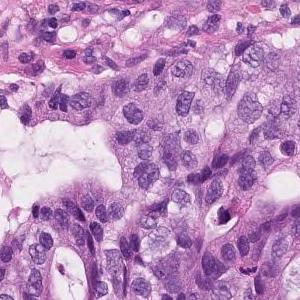
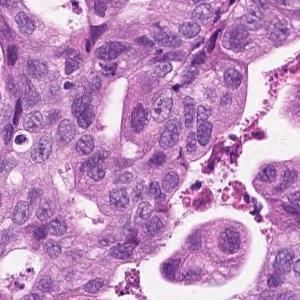
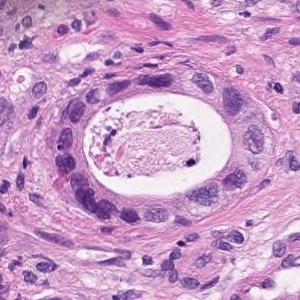
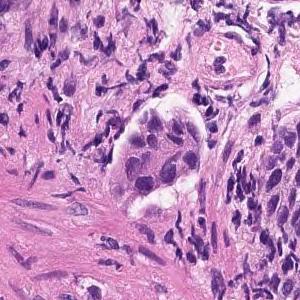
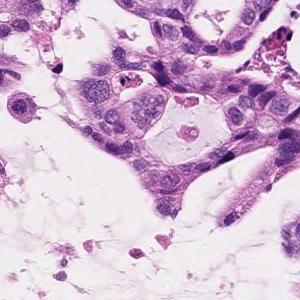
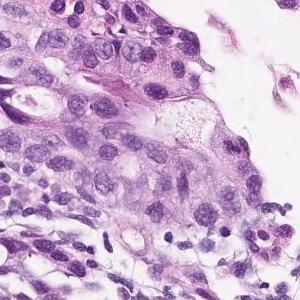
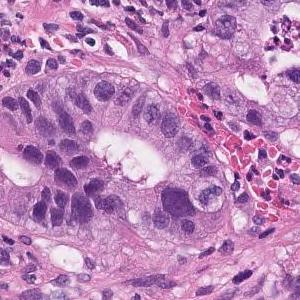
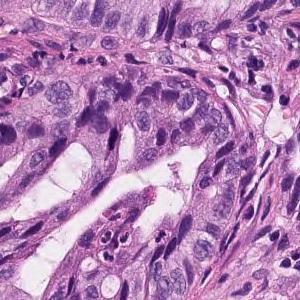
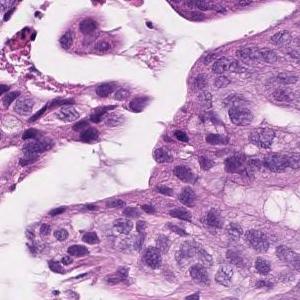
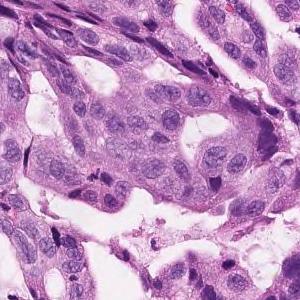
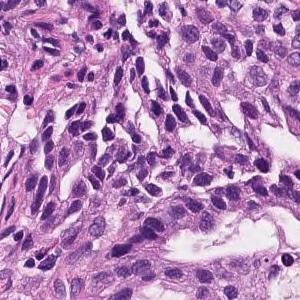
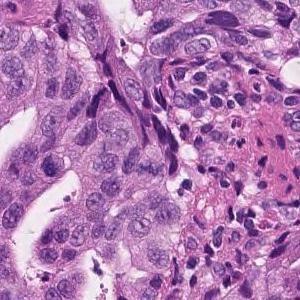
Scanned at ×20 · 12 tiles from the same stomach biopsy slide · 300×300 px each.
Report on the slide these tiles come from. What the report and the diagnosis say applies to the whole slide; these tiles may miss some of the features named and may include tissue that is not tumor.
Atypical epithelium forming papillary or sieving ducts and infiltrating growth is observed. Papillary adenocarcinoma.
